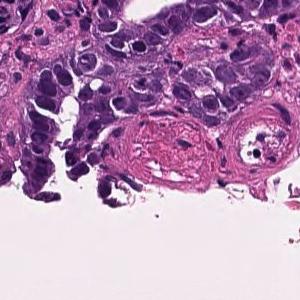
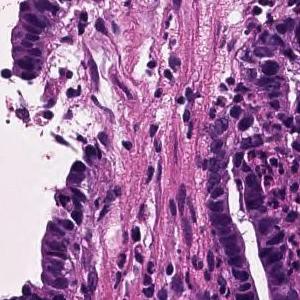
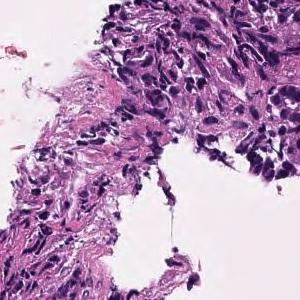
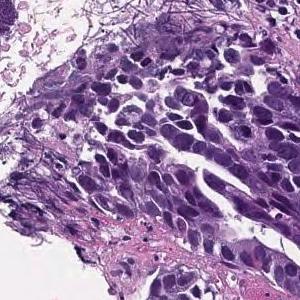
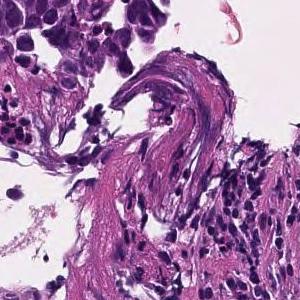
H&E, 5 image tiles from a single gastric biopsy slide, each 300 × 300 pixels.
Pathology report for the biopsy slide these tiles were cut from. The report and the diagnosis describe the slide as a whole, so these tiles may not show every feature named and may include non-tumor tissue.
Tumor cells are large, highly columnar, large club-shaped nuclei, and are associated with chromatin aggregation. Papillary adenocarcinoma.
